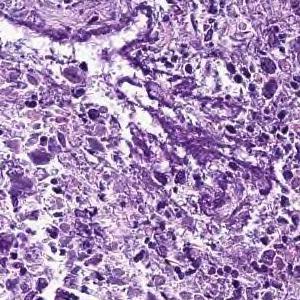
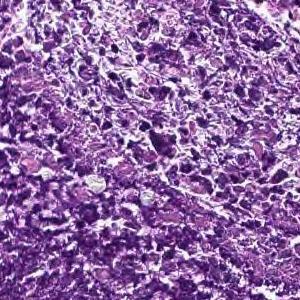
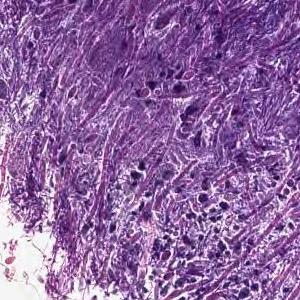
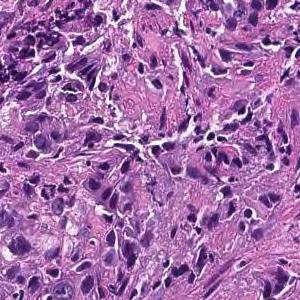
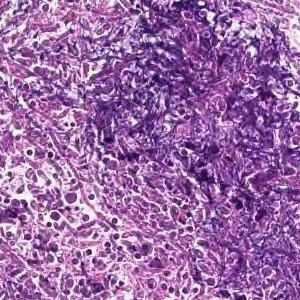
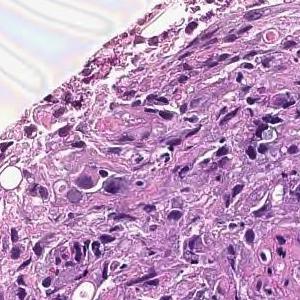
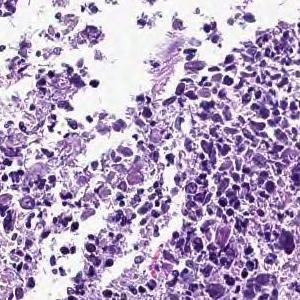
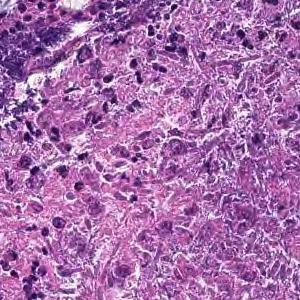
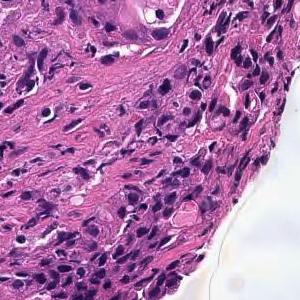
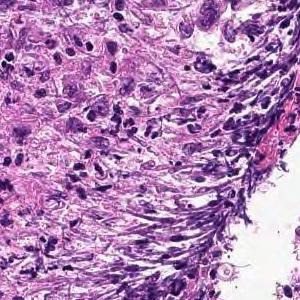
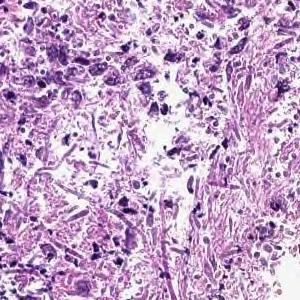
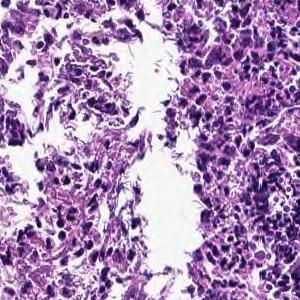
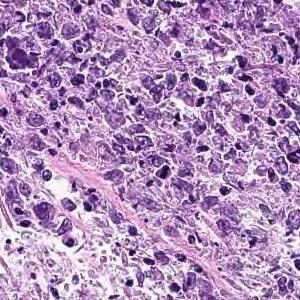
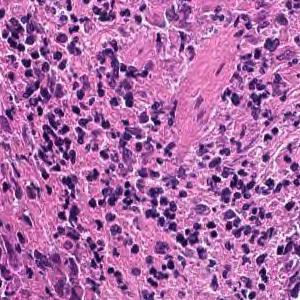
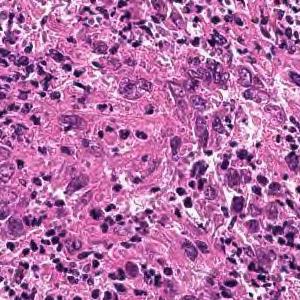
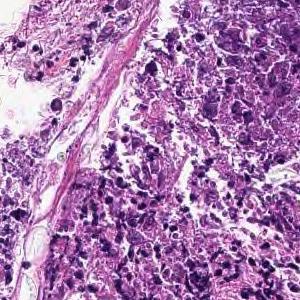
H&E stain · ×20 · 16 image tiles from a single gastric biopsy slide · each 300 × 300 pixels.
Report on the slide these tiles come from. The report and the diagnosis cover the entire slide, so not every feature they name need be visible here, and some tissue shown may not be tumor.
Cancers with polygonal nuclei do not show glandular formation and are densely, in part, cord-like and proliferate. Poorly differentiated adenocarcinoma
Subtype: Poorly differentiated adenocarcinoma, non-solid type.
The non-solid type named here is a Japanese Classification of Gastric Carcinoma category.
